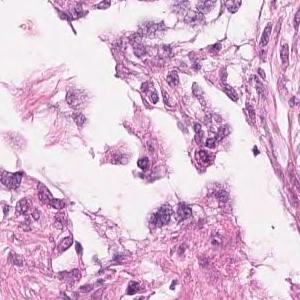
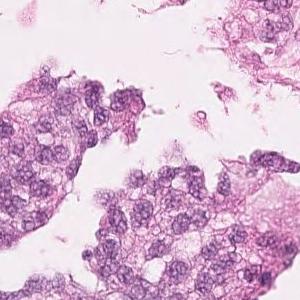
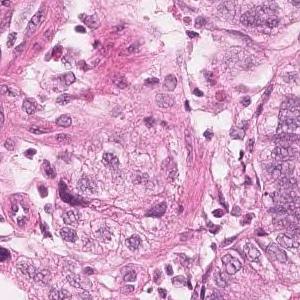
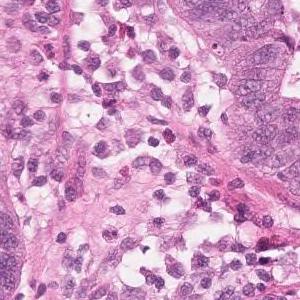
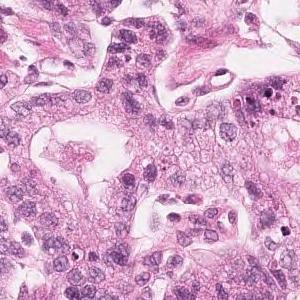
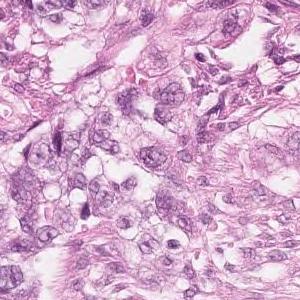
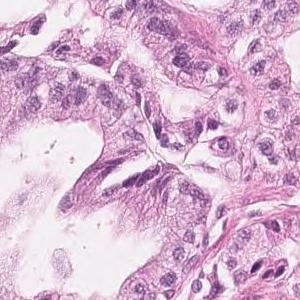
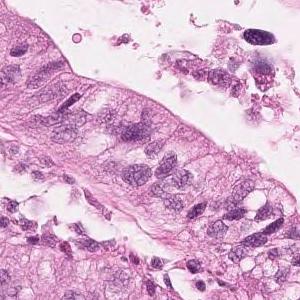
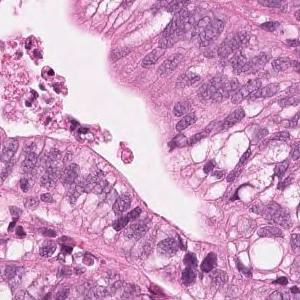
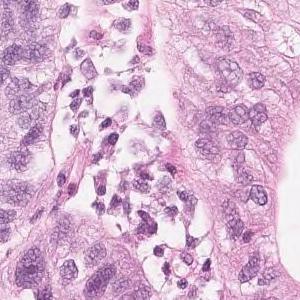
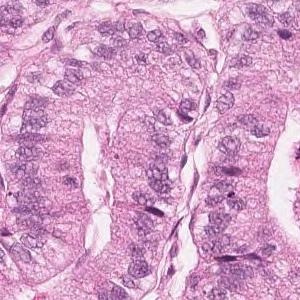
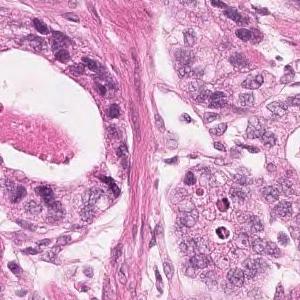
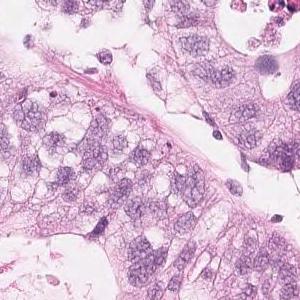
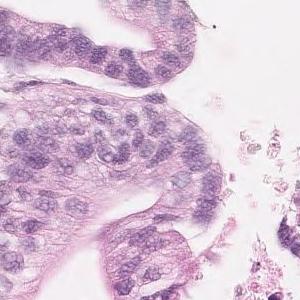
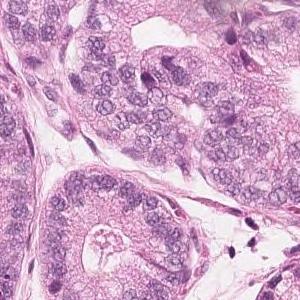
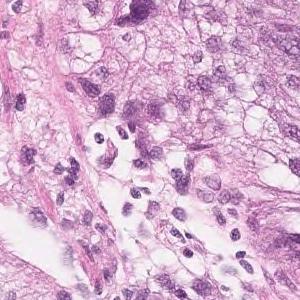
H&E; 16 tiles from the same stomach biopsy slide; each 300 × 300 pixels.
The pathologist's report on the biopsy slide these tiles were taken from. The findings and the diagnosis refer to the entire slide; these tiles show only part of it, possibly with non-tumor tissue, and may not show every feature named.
Highly columnar epithelium with disordered nuclear localization proliferates showing fusion ductal construction. moderately differentiated tubular adenocarcinoma
